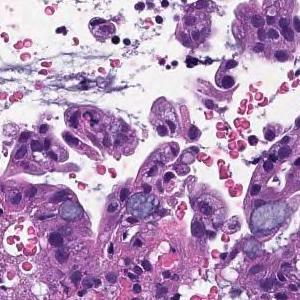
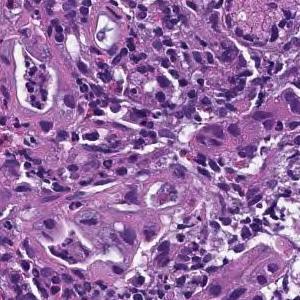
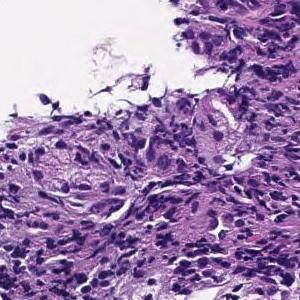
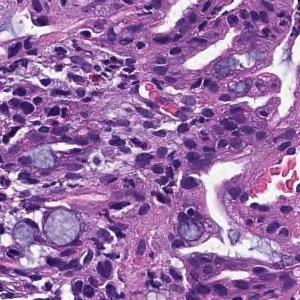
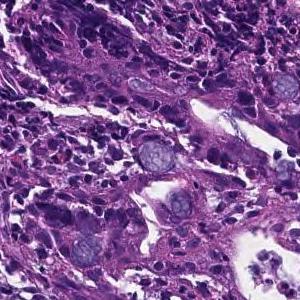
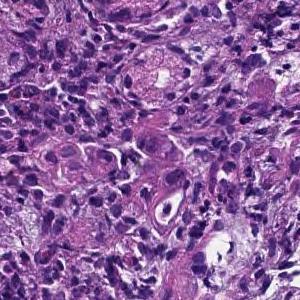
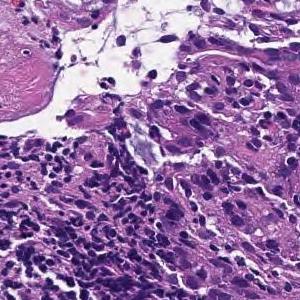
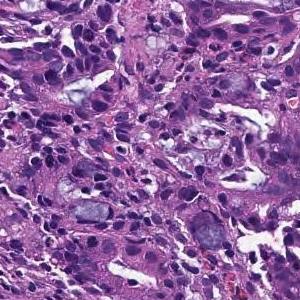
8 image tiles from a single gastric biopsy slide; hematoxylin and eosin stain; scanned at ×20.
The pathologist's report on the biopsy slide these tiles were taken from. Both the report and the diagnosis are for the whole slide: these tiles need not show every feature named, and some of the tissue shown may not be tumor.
In the superficial epithelium, tumor tissue that invades by forming medium-sized to small, irregular ducts is observed. moderately differentiated tubular adenocarcinoma.
